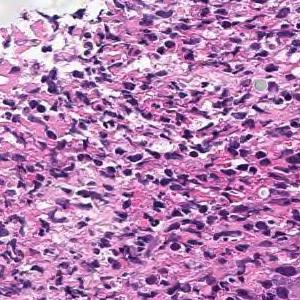
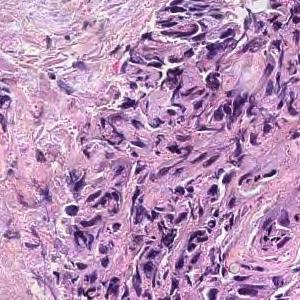
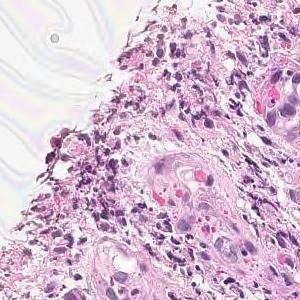
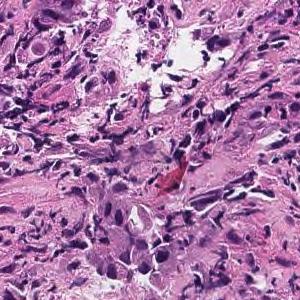
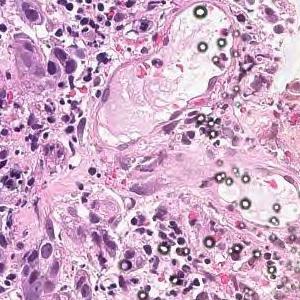
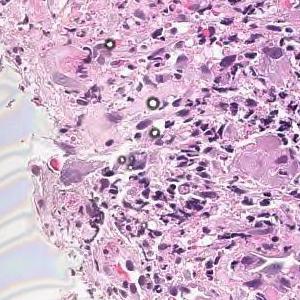
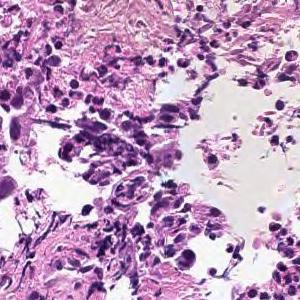
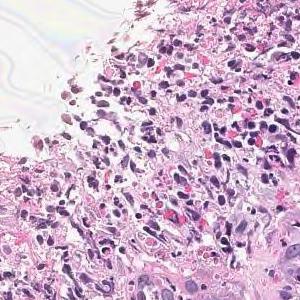
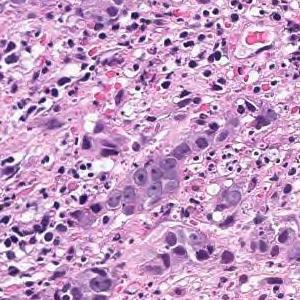
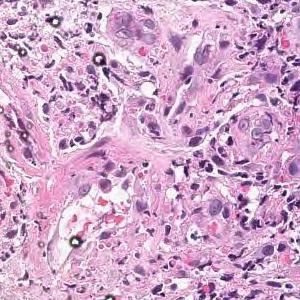
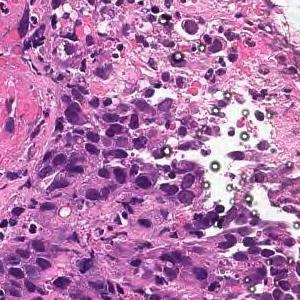
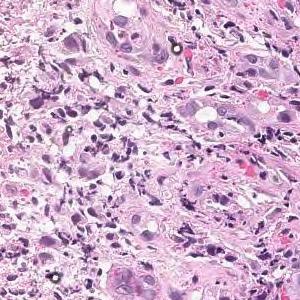
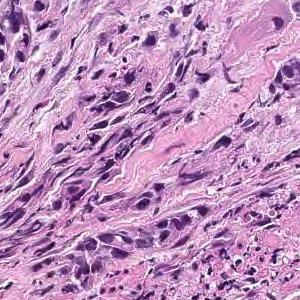
13 tiles cut from one stomach biopsy slide; each 300 × 300 pixels; H&E stain.
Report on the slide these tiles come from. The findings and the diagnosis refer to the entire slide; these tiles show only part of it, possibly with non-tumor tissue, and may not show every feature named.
Tumor tissue consisting of cord-like or small, irregular glandular ducts fused and infiltrated is observed in the superficial epithelium. Poorly differentiated adenocarcinoma, non-solid type
The term "non-solid type" comes from the Japanese Classification of Gastric Carcinoma.
